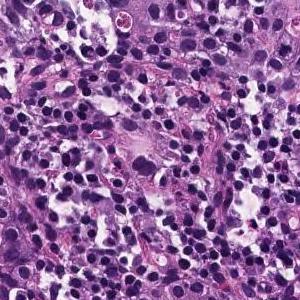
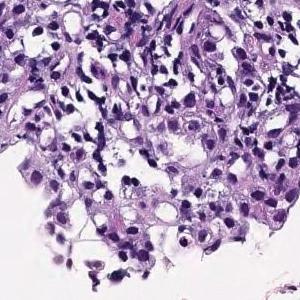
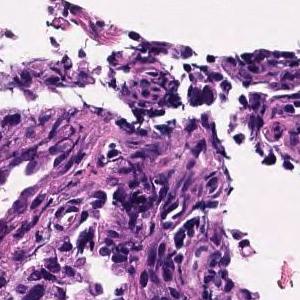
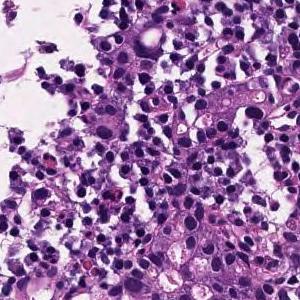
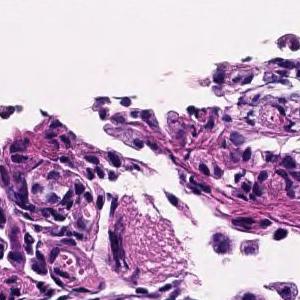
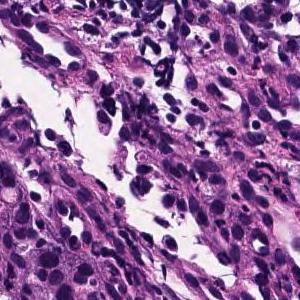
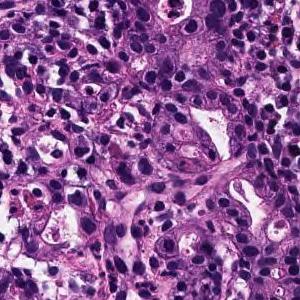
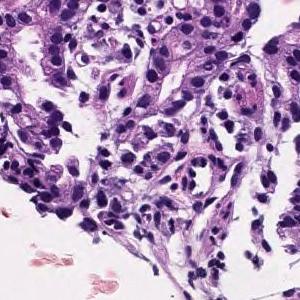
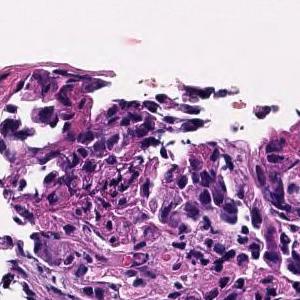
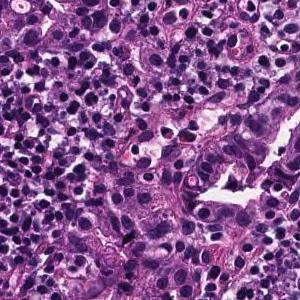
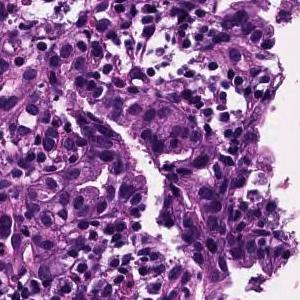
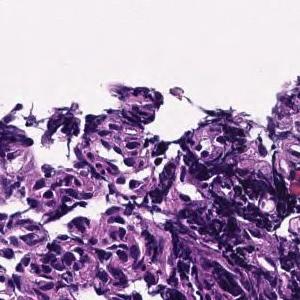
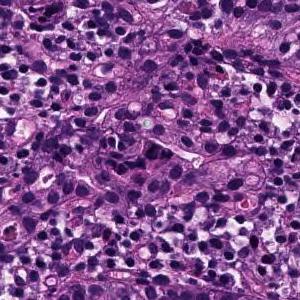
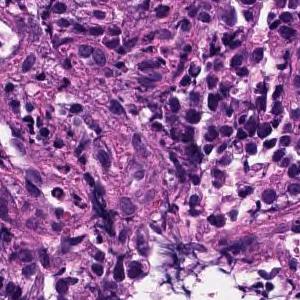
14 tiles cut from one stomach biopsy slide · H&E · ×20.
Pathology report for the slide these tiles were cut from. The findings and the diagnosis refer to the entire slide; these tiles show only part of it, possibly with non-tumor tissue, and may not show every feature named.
Medium to small, irregular glandular ducts are formed in the superficial epithelium, and in some cases, the glandular ducts are fused to show solid alveolar lesions and infiltrating tumor tissue is observed. Moderately to poorly differentiated adenocarcinoma.
